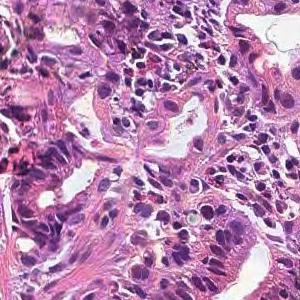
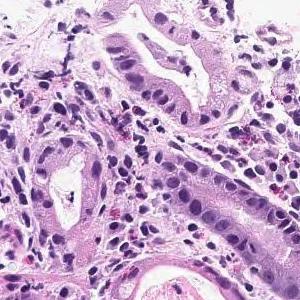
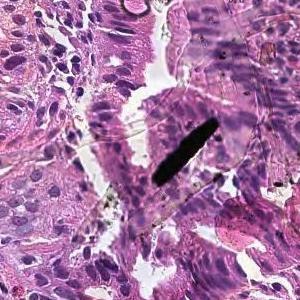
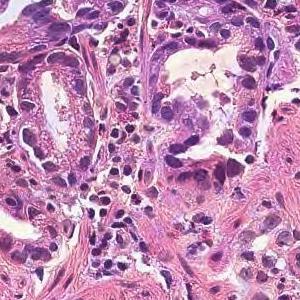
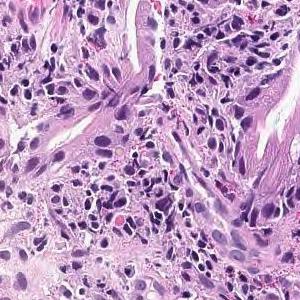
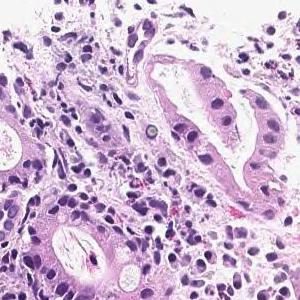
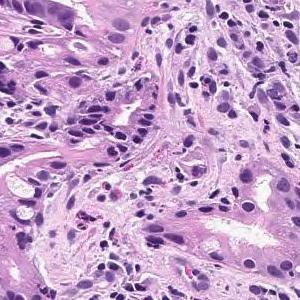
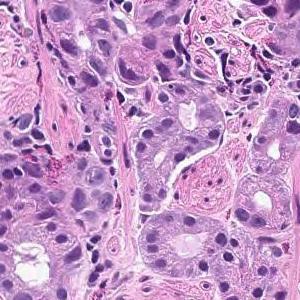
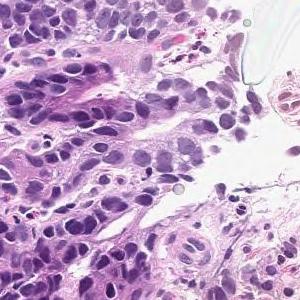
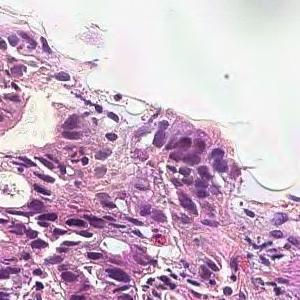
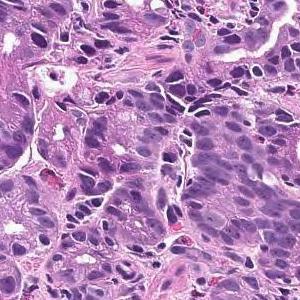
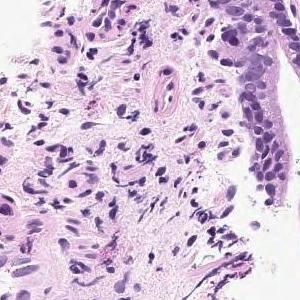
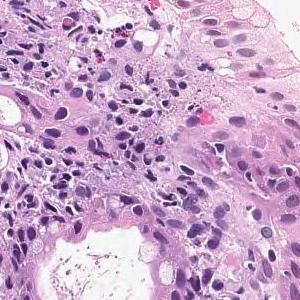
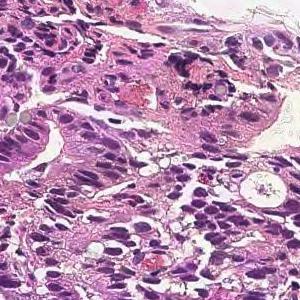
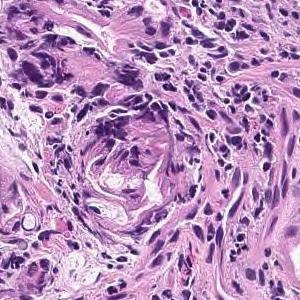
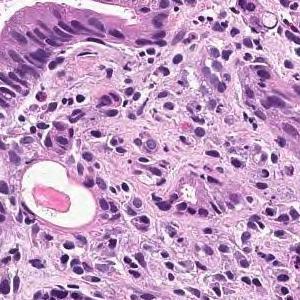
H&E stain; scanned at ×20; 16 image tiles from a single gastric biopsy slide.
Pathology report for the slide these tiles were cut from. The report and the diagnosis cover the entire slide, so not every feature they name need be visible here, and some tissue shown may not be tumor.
In the superficial epithelium, tumor tissue that invades by forming medium-sized to small, irregular ducts is observed. moderately differentiated tubular adenocarcinoma.
